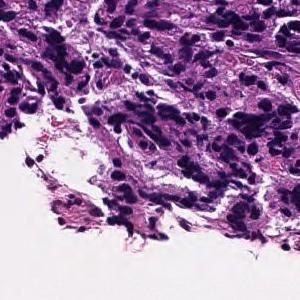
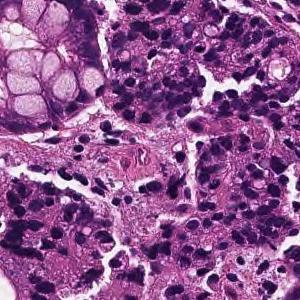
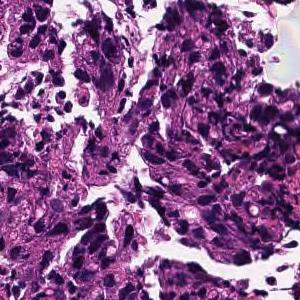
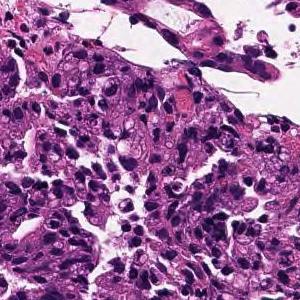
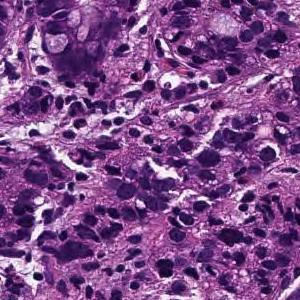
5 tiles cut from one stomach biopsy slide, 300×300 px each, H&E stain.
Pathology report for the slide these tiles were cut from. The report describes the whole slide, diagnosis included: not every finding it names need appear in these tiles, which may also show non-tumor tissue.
Tumor tissue consisting of medium-sized, cord-like or irregular glandular infiltration is observed in the superficial epithelium. Poorly differentiated adenocarcinoma, non-solid type or moderately differentiated tubular adenocarcinoma
Subtype: Moderately to poorly differentiated adenocarcinoma.
The non-solid type named here is a Japanese Classification of Gastric Carcinoma category.
